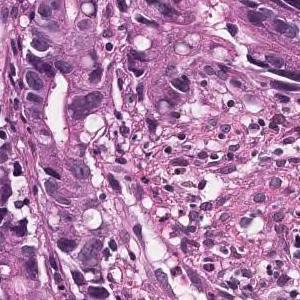
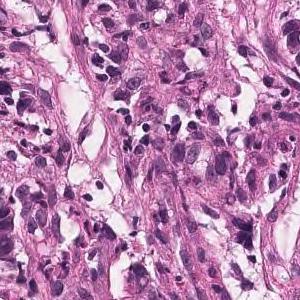
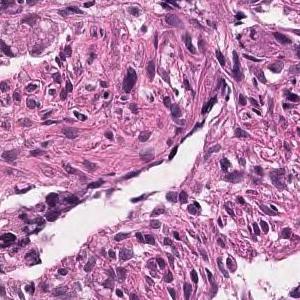
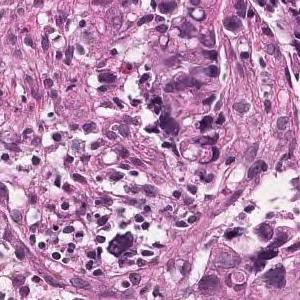
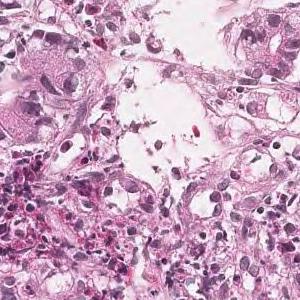
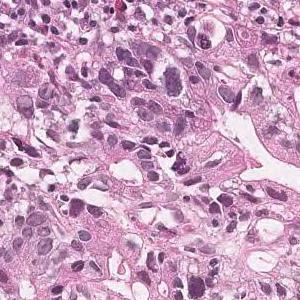
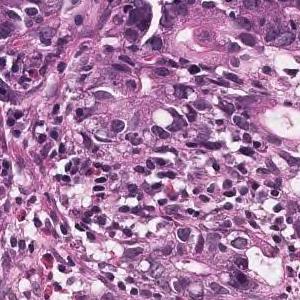
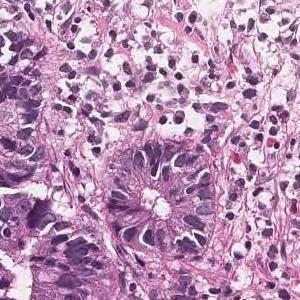
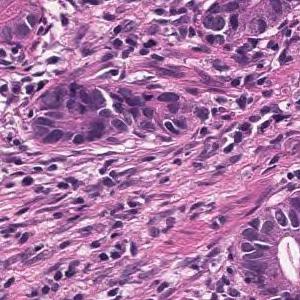
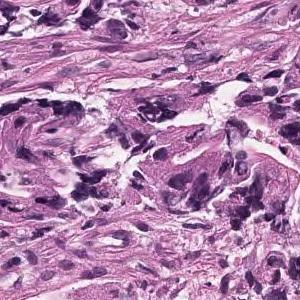
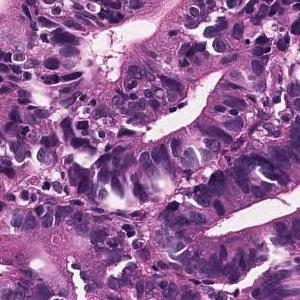
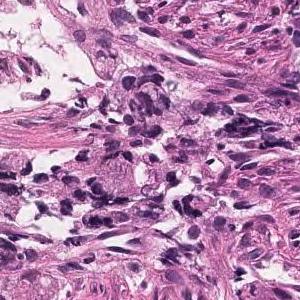
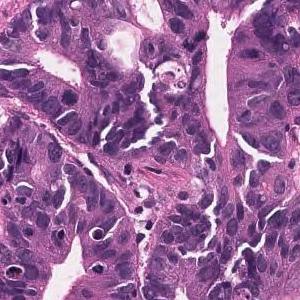
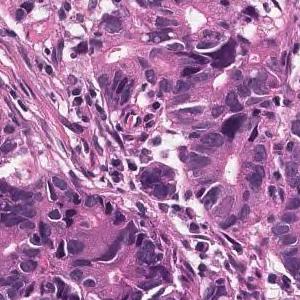
Scanned at ×20 · 14 image tiles from a single gastric biopsy slide · 300×300 px each.
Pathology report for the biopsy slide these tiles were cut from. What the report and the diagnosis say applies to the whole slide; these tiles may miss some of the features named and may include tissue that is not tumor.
In the superficial epithelium, tumor tissue is found in which medium-sized irregular gland ducts fuse with each other and infiltrate. moderately differentiated tubular adenocarcinoma
